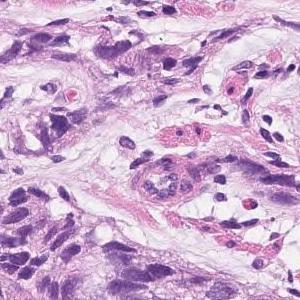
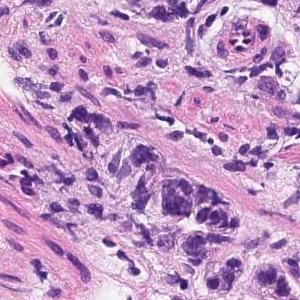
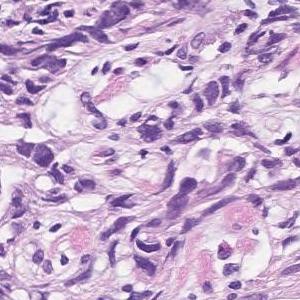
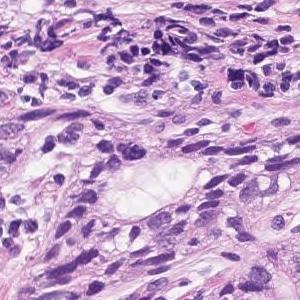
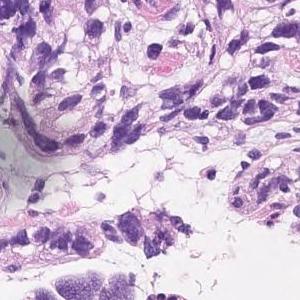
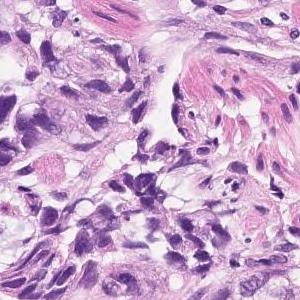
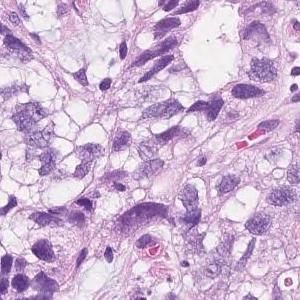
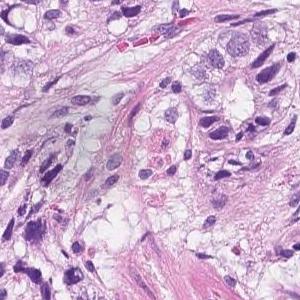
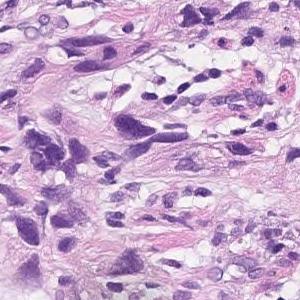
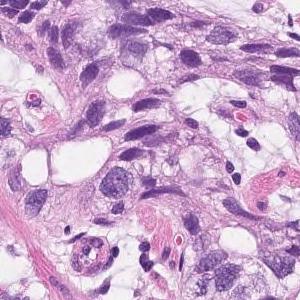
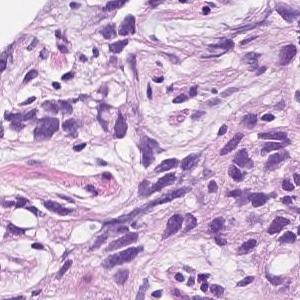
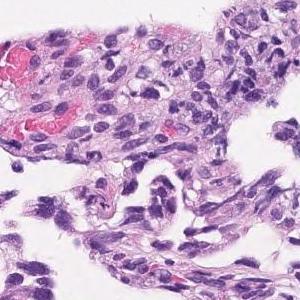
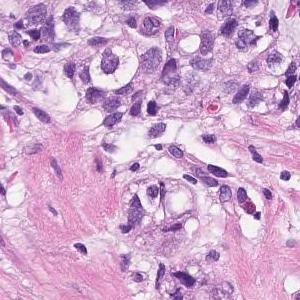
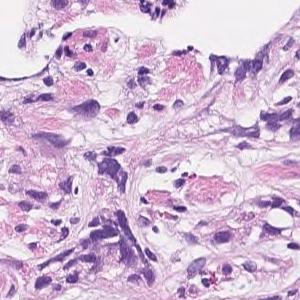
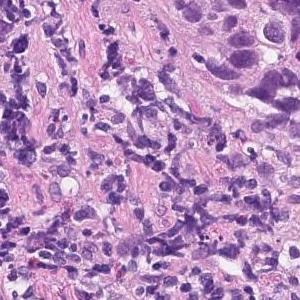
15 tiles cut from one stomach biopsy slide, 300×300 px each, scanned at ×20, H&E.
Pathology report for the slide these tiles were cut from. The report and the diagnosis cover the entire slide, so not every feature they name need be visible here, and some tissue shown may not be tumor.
In the superficial epithelium, tumor tissue that invades by forming medium-sized to small, irregular ducts is observed. Moderately differentiated adenocarcinoma.
Classified as moderately differentiated tubular adenocarcinoma.
